8 tiles from the same stomach biopsy slide · 300 × 300 pixels each · scanned at ×20 · hematoxylin and eosin stain.
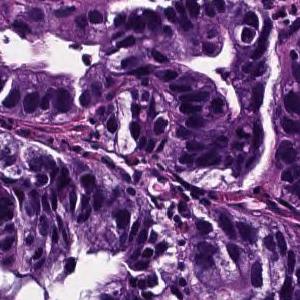
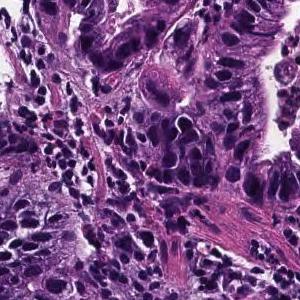
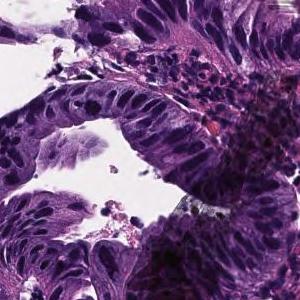
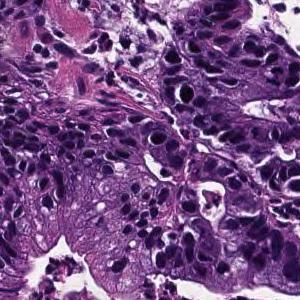
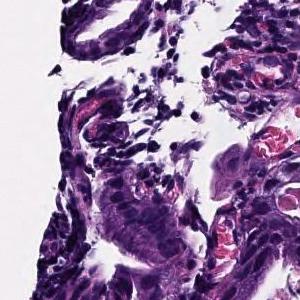
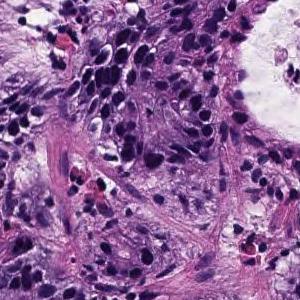
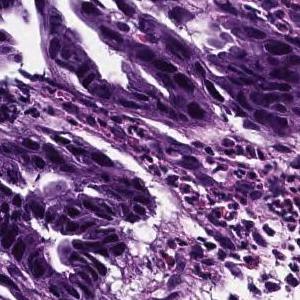
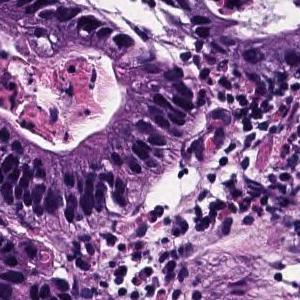
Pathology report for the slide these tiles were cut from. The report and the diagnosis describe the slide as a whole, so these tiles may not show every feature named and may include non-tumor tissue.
In the superficial epithelium, tumor tissue that invades by forming medium-sized to small, irregular ducts is observed. Moderately differentiated adenocarcinoma.
Subtype: Moderately differentiated tubular adenocarcinoma.
